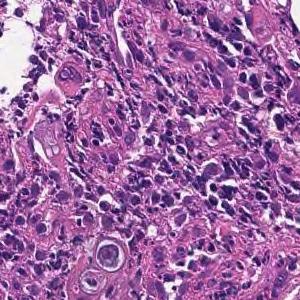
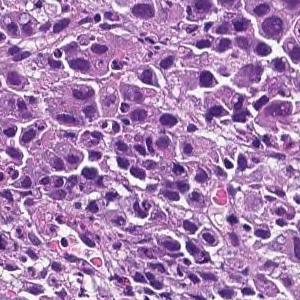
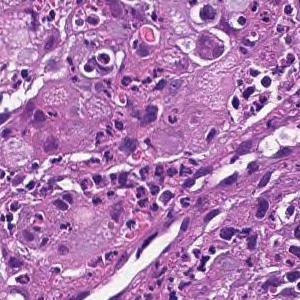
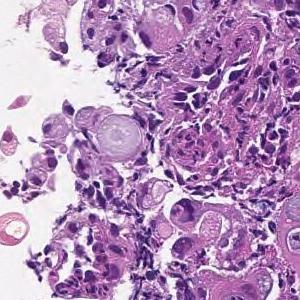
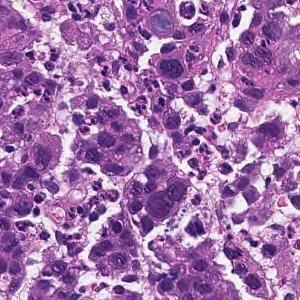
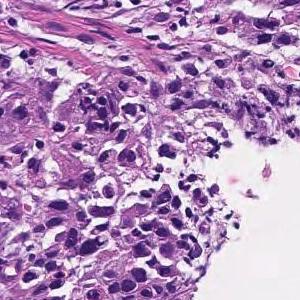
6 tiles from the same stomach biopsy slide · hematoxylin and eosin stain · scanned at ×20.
Pathology report for the slide these tiles were cut from. The report and the diagnosis describe the slide as a whole, so these tiles may not show every feature named and may include non-tumor tissue.
The superficial epithelium shows a large sheet-like shape, and some tumor tissue infiltrates with small irregular ducts. Poorly differentiated adenocarcinoma, solid-type
Classified as poorly differentiated adenocarcinoma, solid type (Japanese Classification of Gastric Carcinoma). The WHO 2019 equivalent is tubular adenocarcinoma, poorly differentiated.
